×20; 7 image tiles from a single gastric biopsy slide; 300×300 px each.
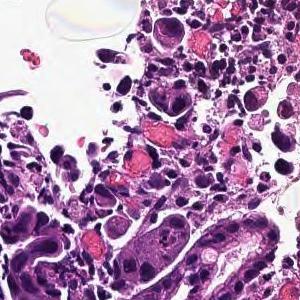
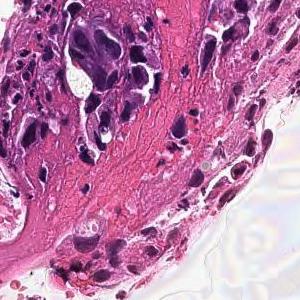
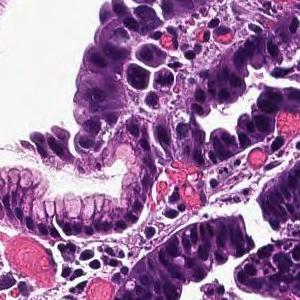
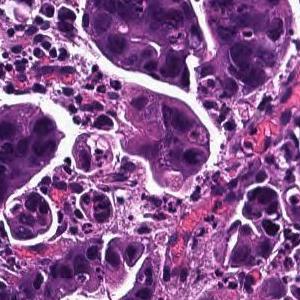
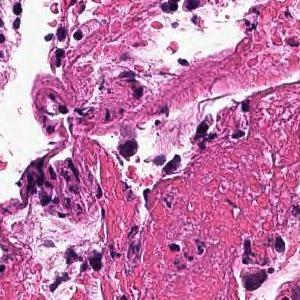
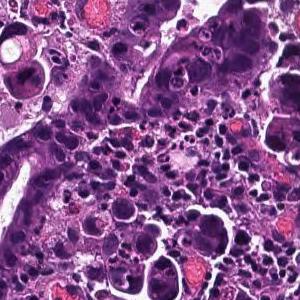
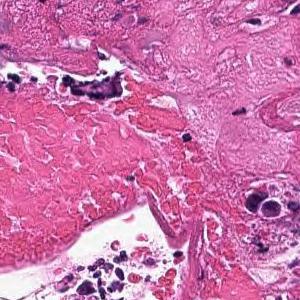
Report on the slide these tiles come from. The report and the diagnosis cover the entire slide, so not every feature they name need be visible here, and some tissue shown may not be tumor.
Tumor tissue consisting of medium-sized, cord-like or irregular glandular infiltration is observed in the superficial epithelium. Poorly differentiated adenocarcinoma, non-solid type or moderately differentiated tubular adenocarcinoma
Histological subtype: Moderately to poorly differentiated adenocarcinoma.
The non-solid type named here is a Japanese Classification of Gastric Carcinoma category.
